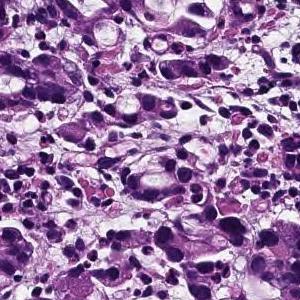
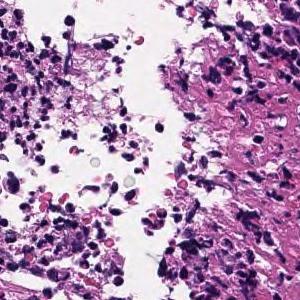
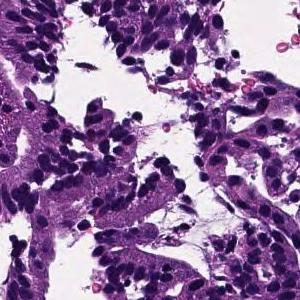
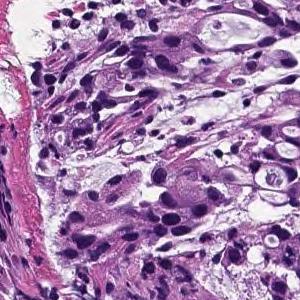
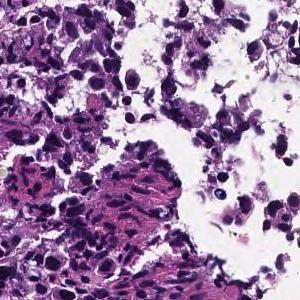
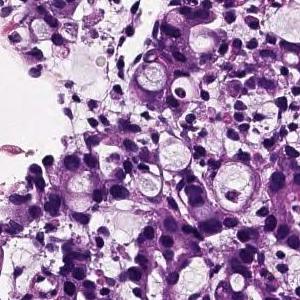
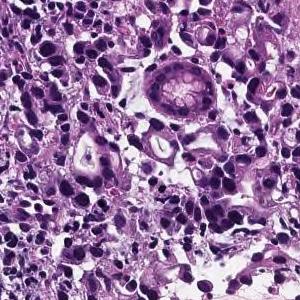
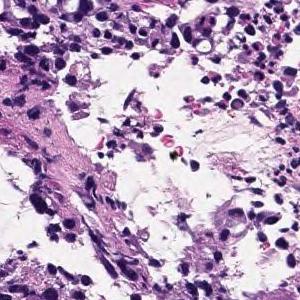
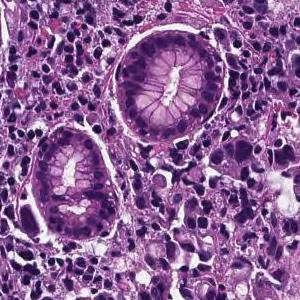
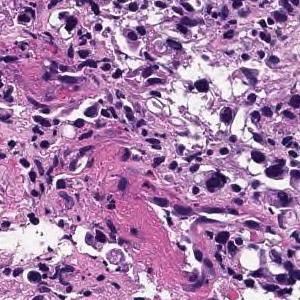
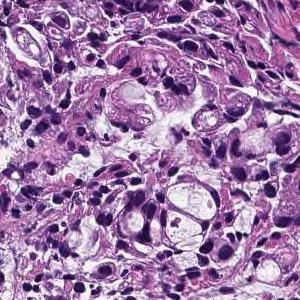
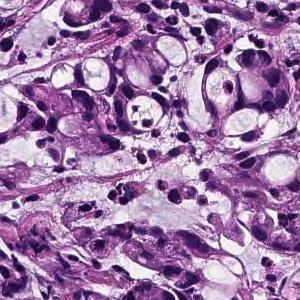
12 tiles from the same stomach biopsy slide.
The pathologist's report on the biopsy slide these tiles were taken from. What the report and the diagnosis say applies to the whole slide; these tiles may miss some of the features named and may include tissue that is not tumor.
Tumor tissue consisting of cord-like or small, irregular glandular ducts fused and infiltrated is observed in the superficial epithelium. Poorly differentiated adenocarcinoma, non-solid type
The non-solid type named here is a Japanese Classification of Gastric Carcinoma category.
